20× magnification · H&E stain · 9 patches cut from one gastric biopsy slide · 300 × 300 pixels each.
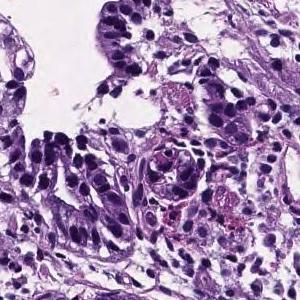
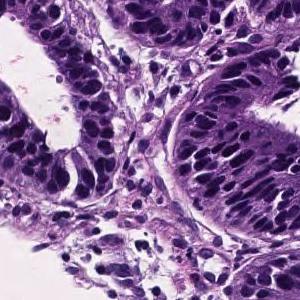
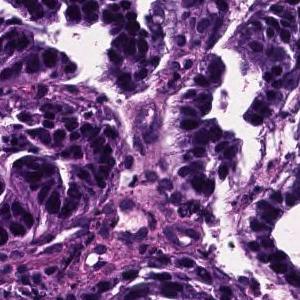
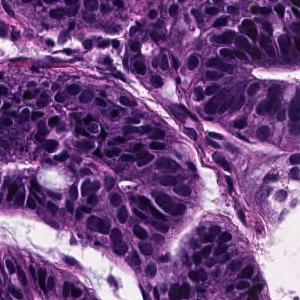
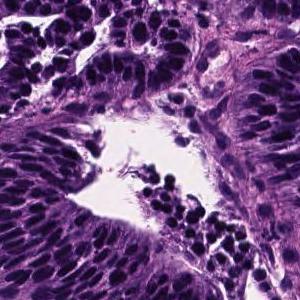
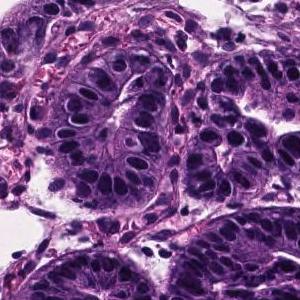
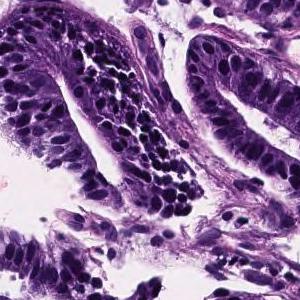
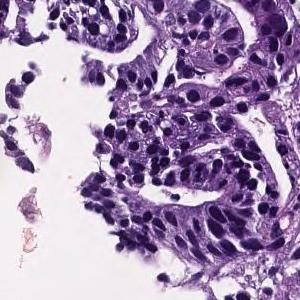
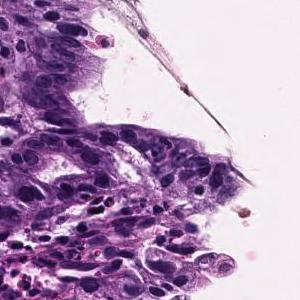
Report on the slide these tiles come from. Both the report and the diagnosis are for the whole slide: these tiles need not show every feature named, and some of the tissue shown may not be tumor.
On the superficial epithelium, tumor tissue consisting of medium-sized to large-sized, round or irregular glandular duct growth images is observed. Well differentiated tubular adenocarcinoma
